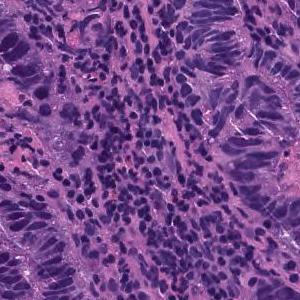
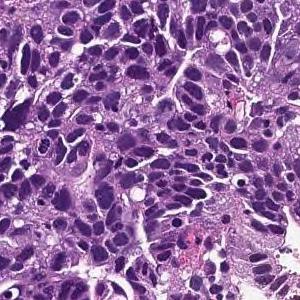
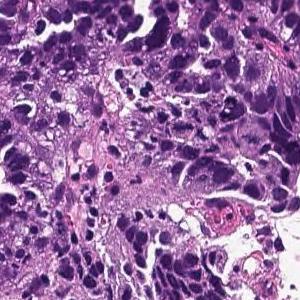
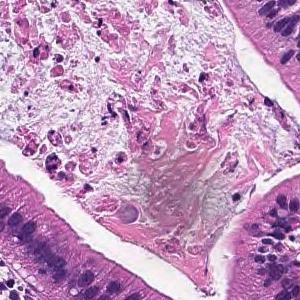
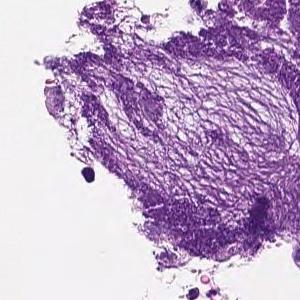
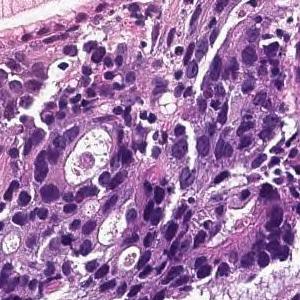
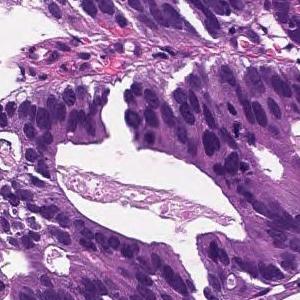
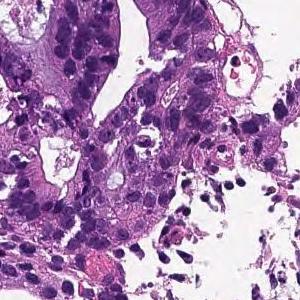
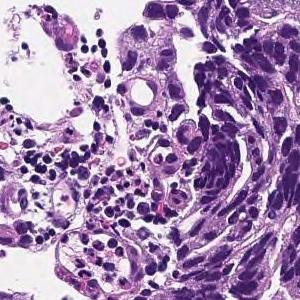
9 tiles cut from one stomach biopsy slide, hematoxylin and eosin stain, scanned at ×20.
Pathology report for the slide these tiles were cut from. The report and the diagnosis cover the entire slide, so not every feature they name need be visible here, and some tissue shown may not be tumor.
In the superficial epithelium, tumor tissue that invades by forming medium-sized to small, irregular ducts is observed. moderately differentiated tubular adenocarcinoma.
